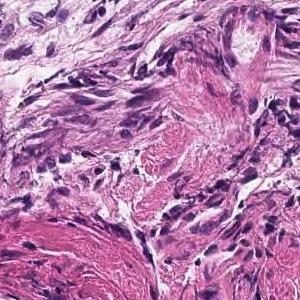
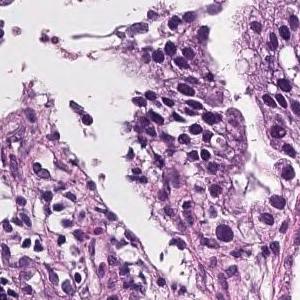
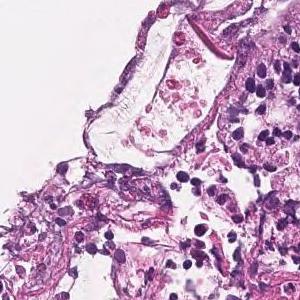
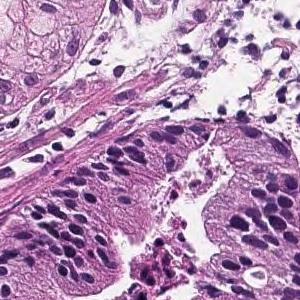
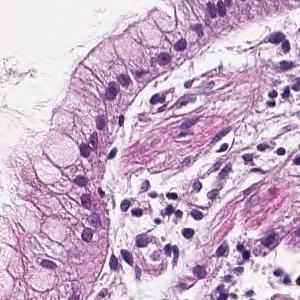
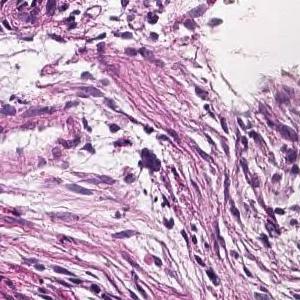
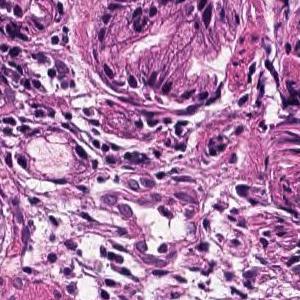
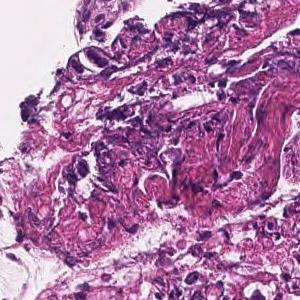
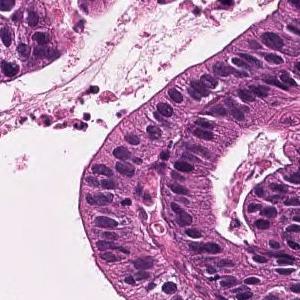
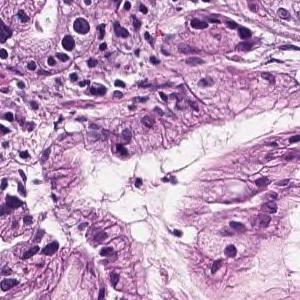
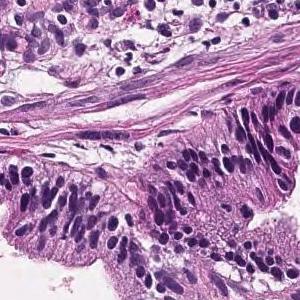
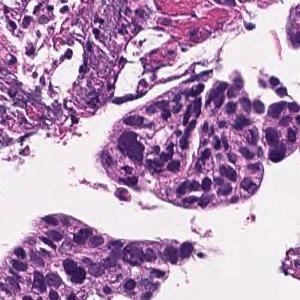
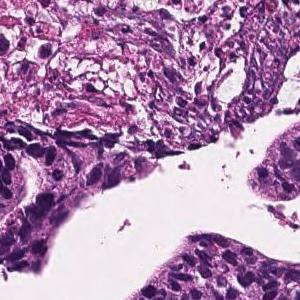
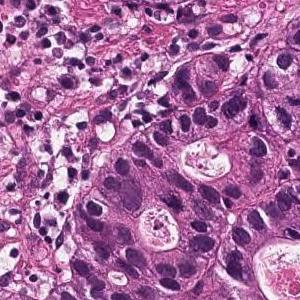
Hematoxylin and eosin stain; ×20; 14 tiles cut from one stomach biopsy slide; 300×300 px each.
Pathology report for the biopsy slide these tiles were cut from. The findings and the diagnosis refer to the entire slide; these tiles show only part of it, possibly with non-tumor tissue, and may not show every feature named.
On the superficial epithelium, tumor tissue consisting of large, irregular glandular ducts partially fused and infiltrated is observed. Well to moderately differentiated tubular adenocarcinoma (well differentiated tubular adenocarcinoma, moderately differentiated tubular adenocarcinoma)
Histologic type: Well to moderately differentiated tubular adenocarcinoma.
